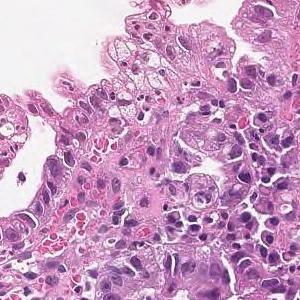
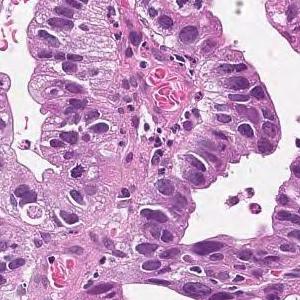
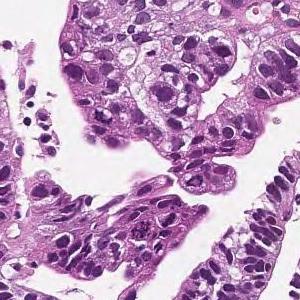
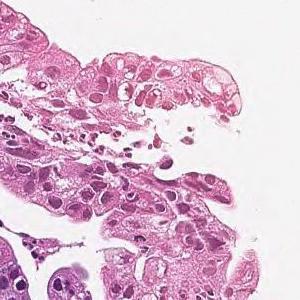
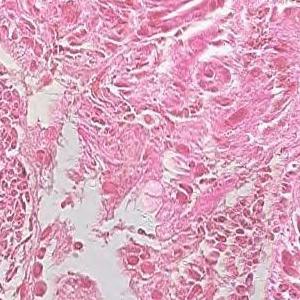
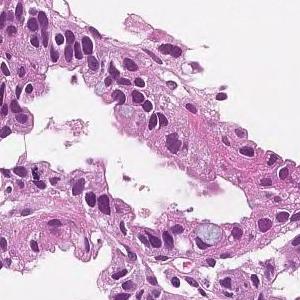
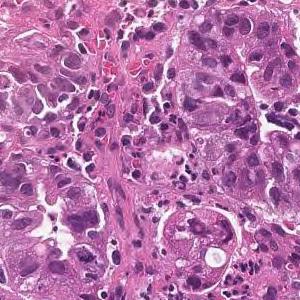
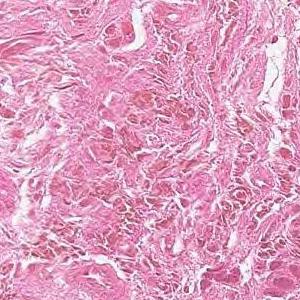
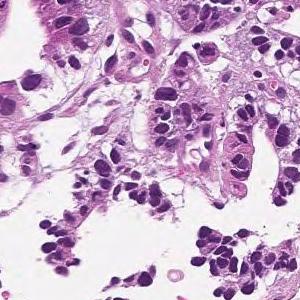
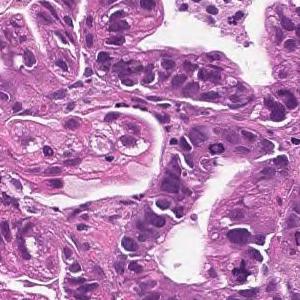
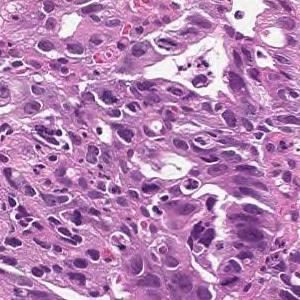
11 tiles from the same stomach biopsy slide, 300 × 300 pixels each, H&E stain.
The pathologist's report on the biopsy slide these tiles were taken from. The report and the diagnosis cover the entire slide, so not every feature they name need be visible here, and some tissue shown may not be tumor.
On the superficial epithelium, tumor tissue that infiltrates by forming medium-sized papillary or small irregular ducts is observed. Papillary adenocarcinoma
